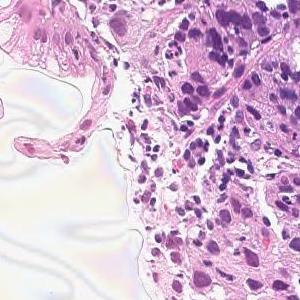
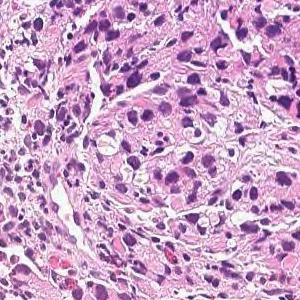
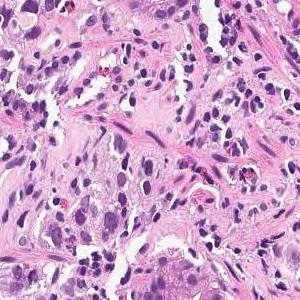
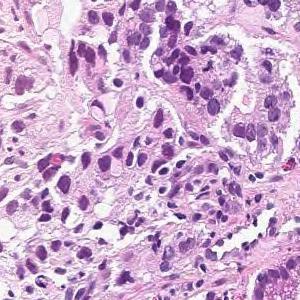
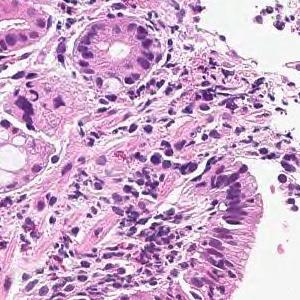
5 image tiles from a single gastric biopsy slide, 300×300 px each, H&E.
Pathology report for the slide these tiles were cut from. What the report and the diagnosis say applies to the whole slide; these tiles may miss some of the features named and may include tissue that is not tumor.
Tumor tissue consisting of medium-sized, cord-like or irregular glandular infiltration is observed in the superficial epithelium. Poorly differentiated adenocarcinoma, non-solid type or moderately differentiated tubular adenocarcinoma (moderately differentiated tubular adenocarcinoma)
Labeled in the dataset as moderately differentiated tubular adenocarcinoma.
"Non-solid type" is a category of the Japanese Classification of Gastric Carcinoma.
